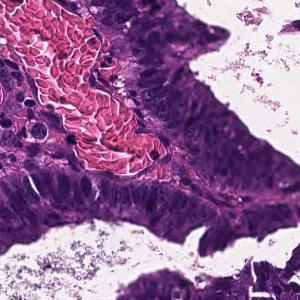
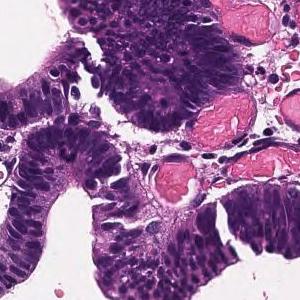
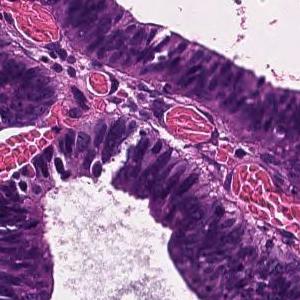
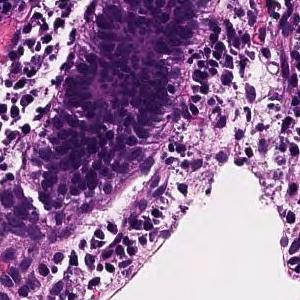
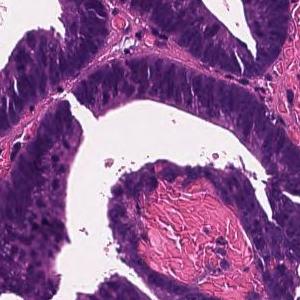
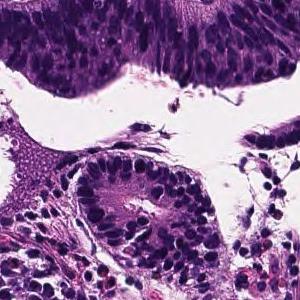
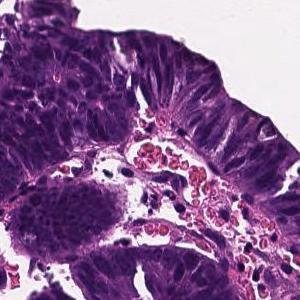
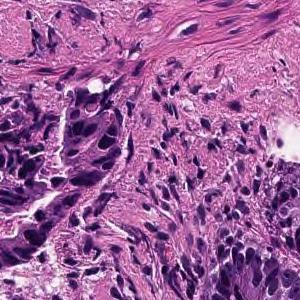
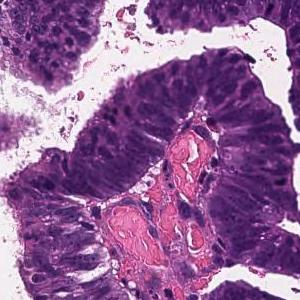
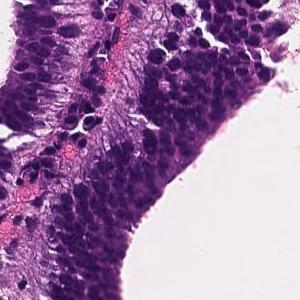
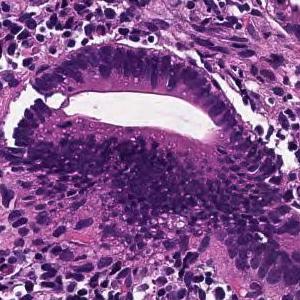
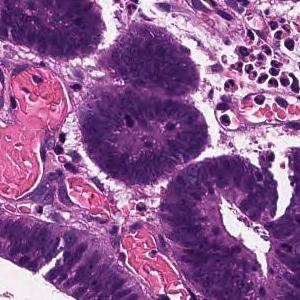
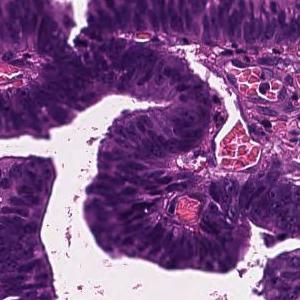
13 tiles cut from one stomach biopsy slide · each 300 × 300 pixels · hematoxylin and eosin stain · scanned at ×20.
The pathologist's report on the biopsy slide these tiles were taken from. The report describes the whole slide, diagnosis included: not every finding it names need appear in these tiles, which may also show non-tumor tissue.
Tumor tissue consisting of large papillary structures is found in the superficial epithelium. Papillary adenocarcinoma.
